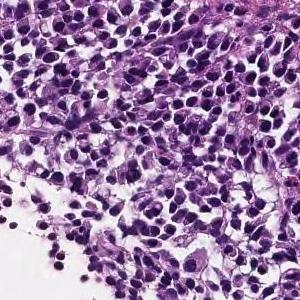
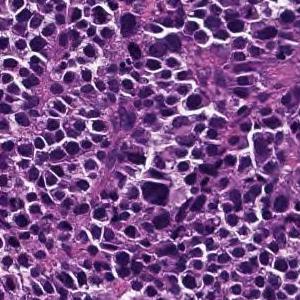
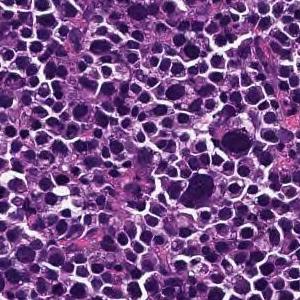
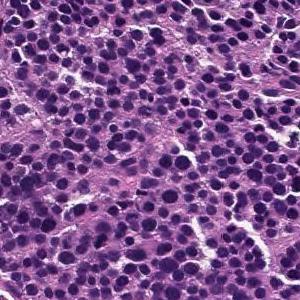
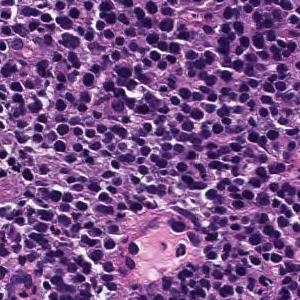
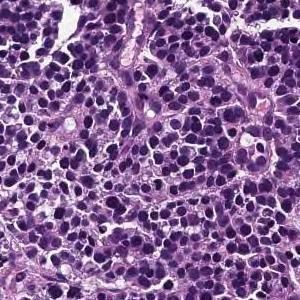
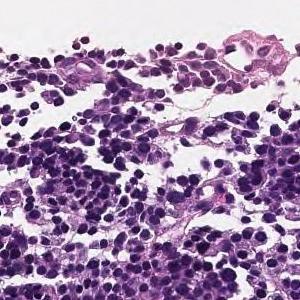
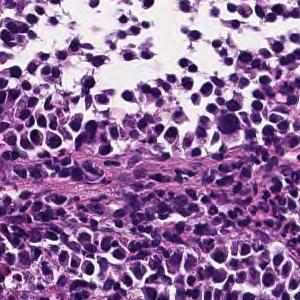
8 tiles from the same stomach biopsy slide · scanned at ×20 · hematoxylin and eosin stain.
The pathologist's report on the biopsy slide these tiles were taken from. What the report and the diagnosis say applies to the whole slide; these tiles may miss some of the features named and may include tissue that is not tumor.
Large sheet-like or diffusely infiltrating tumor tissue is found in the superficial epithelium. Poorly differentiated adenocarcinoma, solid-type
Histological subtype: Poorly differentiated adenocarcinoma, solid type, a category of the Japanese Classification of Gastric Carcinoma; in the WHO 2019 classification it is tubular adenocarcinoma, poorly differentiated.
